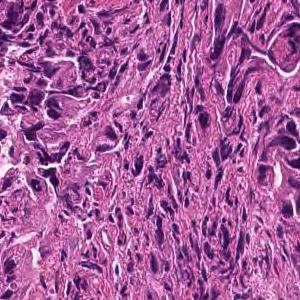
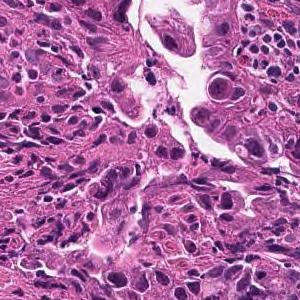
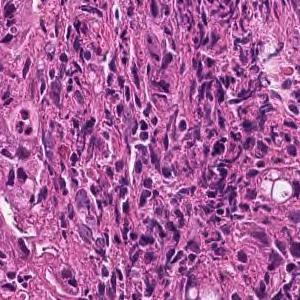
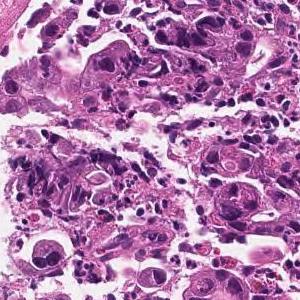
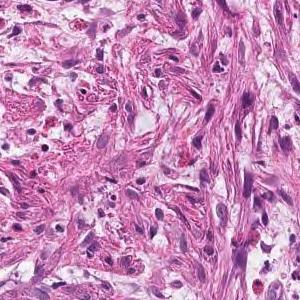
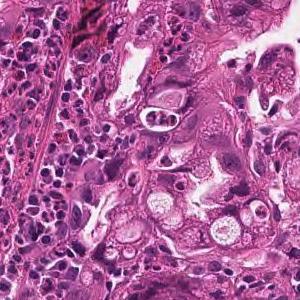
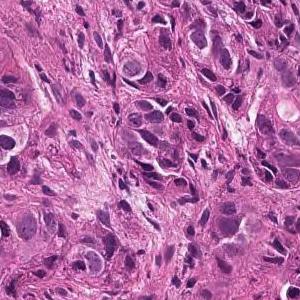
H&E stain, 7 image tiles from a single gastric biopsy slide, 300 × 300 pixels each.
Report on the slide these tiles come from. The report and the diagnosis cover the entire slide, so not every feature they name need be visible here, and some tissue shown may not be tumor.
Medium to small, irregular glandular ducts are formed in the superficial epithelium, and in some cases, the glandular ducts are fused to show solid alveolar lesions and infiltrating tumor tissue is observed. Moderately to poorly differentiated adenocarcinoma.
